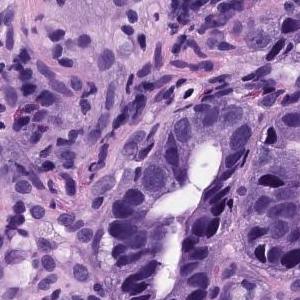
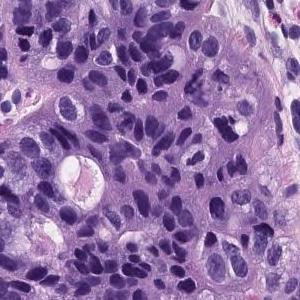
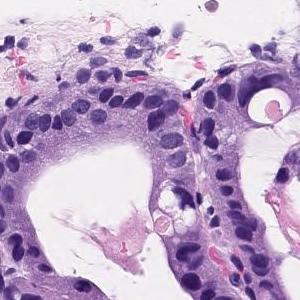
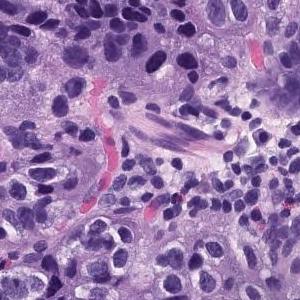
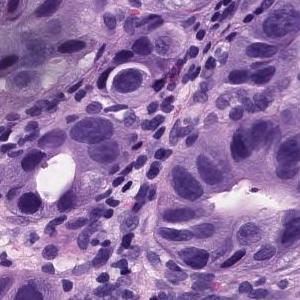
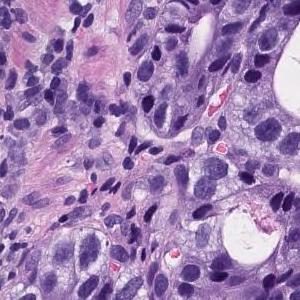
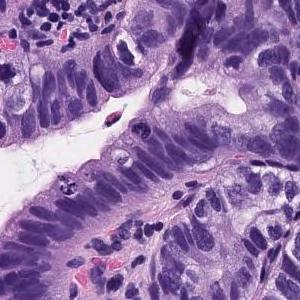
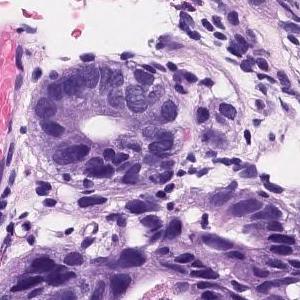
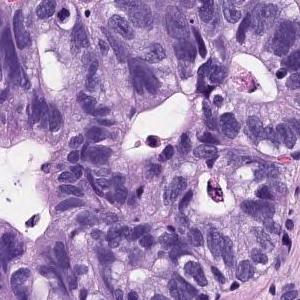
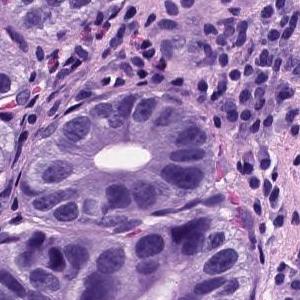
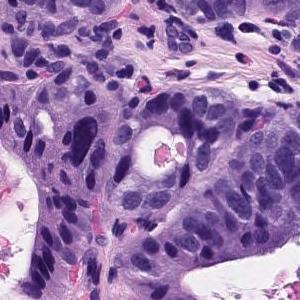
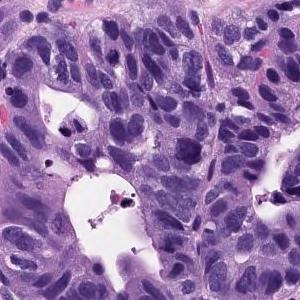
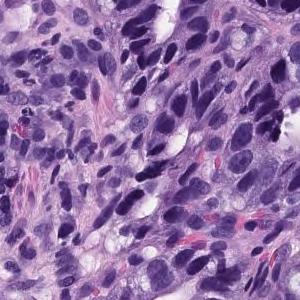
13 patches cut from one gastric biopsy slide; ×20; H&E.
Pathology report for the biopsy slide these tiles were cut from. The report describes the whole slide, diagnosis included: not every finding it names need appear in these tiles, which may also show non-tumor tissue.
Proliferation of atypical tubules is observed in surface epithelium. Tubules form back-to-back structure. Tubules exhibit glandular budding, nuclear enlargement, cellular atypia. Well differentiated tubular adenocarcinoma.
